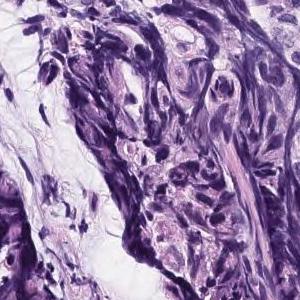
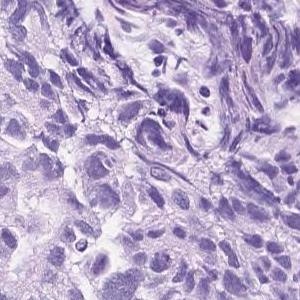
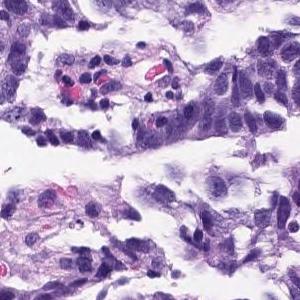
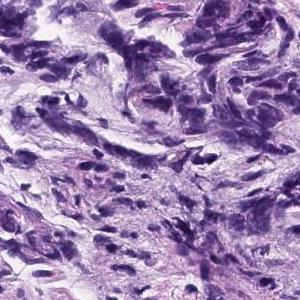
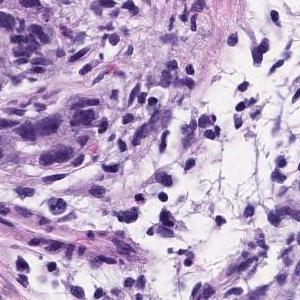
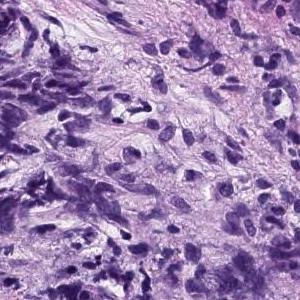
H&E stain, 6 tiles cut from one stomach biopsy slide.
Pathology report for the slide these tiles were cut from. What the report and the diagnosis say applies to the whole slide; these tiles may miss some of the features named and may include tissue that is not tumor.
Atypical epithelial cells with an increased N/C ratio proliferate and consist of a part that shows the formation of gland ducts and a part that shows solid growth. Poorly differentiated adenocarcinoma, solid-type
Classified as poorly differentiated adenocarcinoma, solid type, a category of the Japanese Classification of Gastric Carcinoma; in the WHO 2019 classification it is tubular adenocarcinoma, poorly differentiated.
